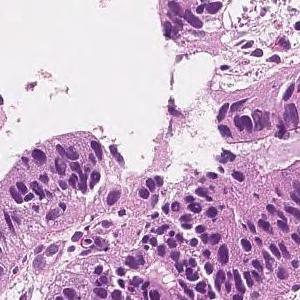
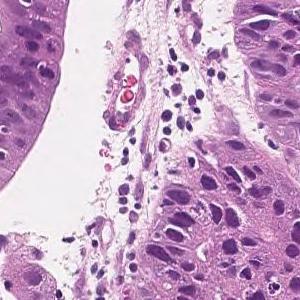
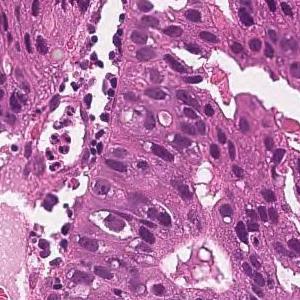
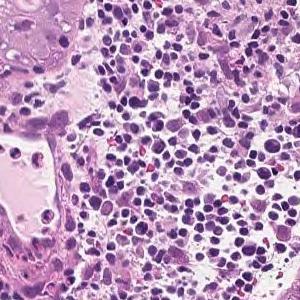
4 patches cut from one gastric biopsy slide; 20× magnification; H&E stain.
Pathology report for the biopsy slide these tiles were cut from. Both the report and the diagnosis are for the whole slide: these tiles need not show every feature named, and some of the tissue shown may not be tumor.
In the superficial epithelium, tumor tissue that invades by forming medium-sized to small, irregular ducts is observed. moderately differentiated tubular adenocarcinoma.
